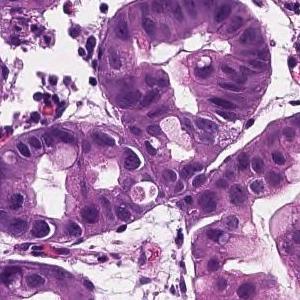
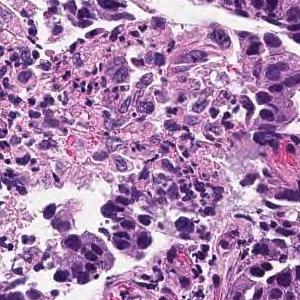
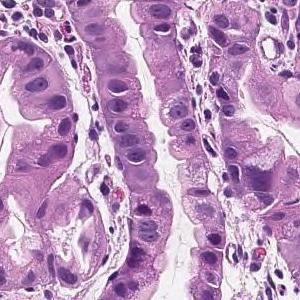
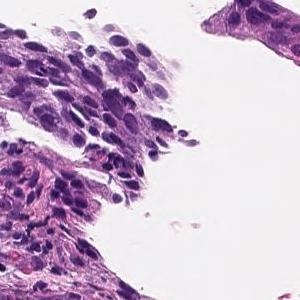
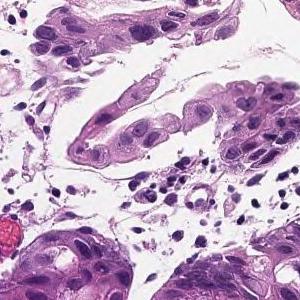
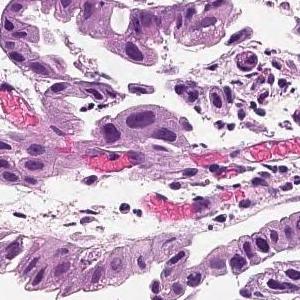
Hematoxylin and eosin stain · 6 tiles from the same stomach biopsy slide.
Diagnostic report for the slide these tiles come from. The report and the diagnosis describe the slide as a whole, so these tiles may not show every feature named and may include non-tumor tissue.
On the superficial epithelium, tumor tissue that infiltrates by forming medium-sized papillary or small irregular ducts is observed. Papillary adenocarcinoma
